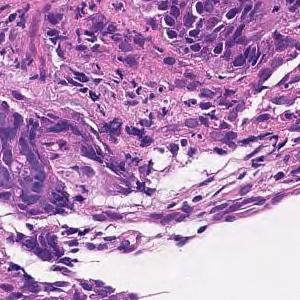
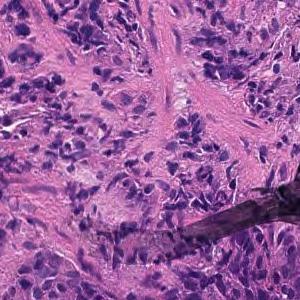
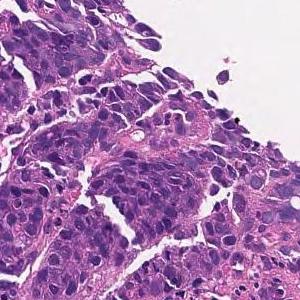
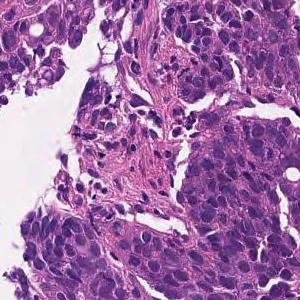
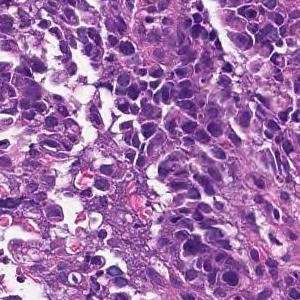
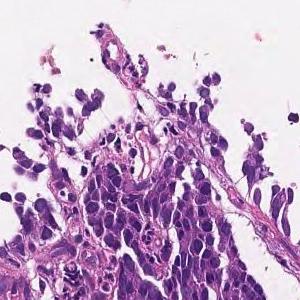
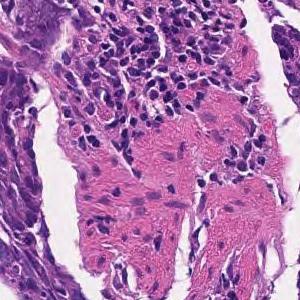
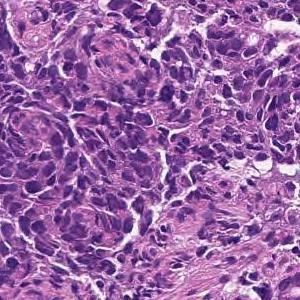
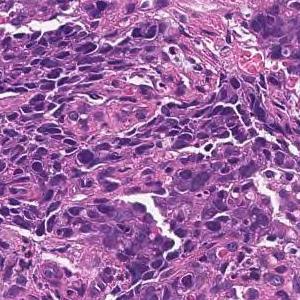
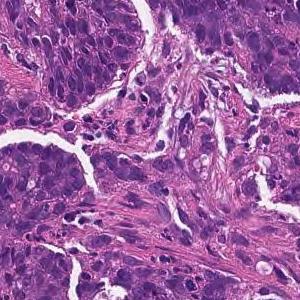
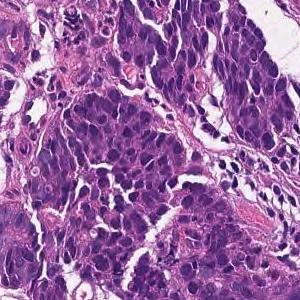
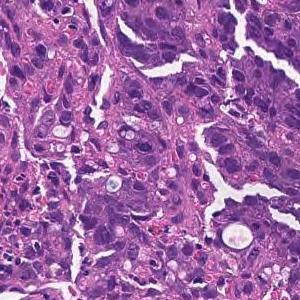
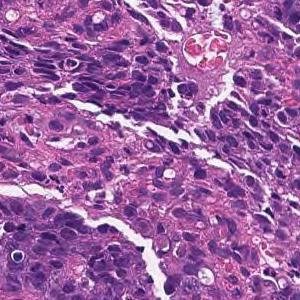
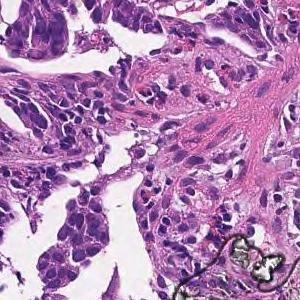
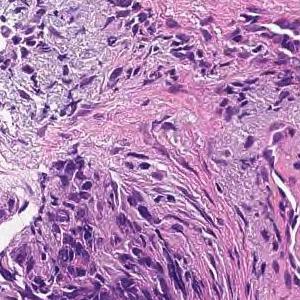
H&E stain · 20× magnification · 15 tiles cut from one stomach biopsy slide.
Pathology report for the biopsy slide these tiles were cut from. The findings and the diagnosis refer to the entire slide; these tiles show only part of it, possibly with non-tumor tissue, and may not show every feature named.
Tumor tissue consisting of cord-like or small, irregular glandular ducts fused and infiltrated is observed in the superficial epithelium. Poorly differentiated adenocarcinoma, non-solid type
"Non-solid type" is a category of the Japanese Classification of Gastric Carcinoma.
